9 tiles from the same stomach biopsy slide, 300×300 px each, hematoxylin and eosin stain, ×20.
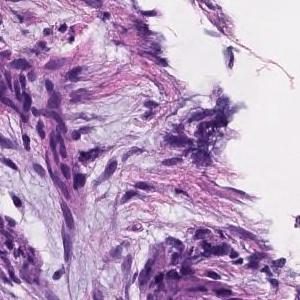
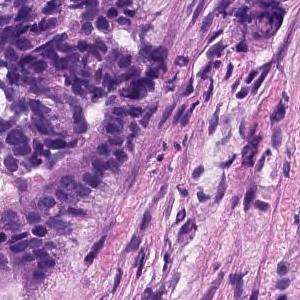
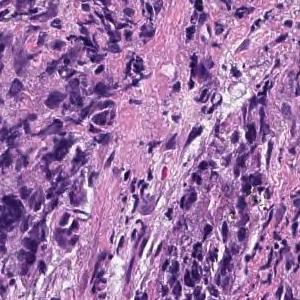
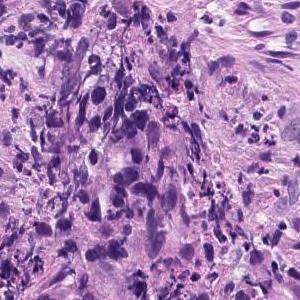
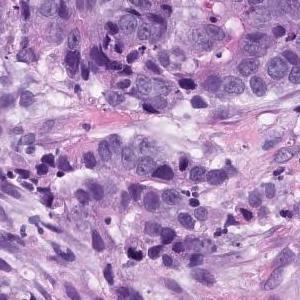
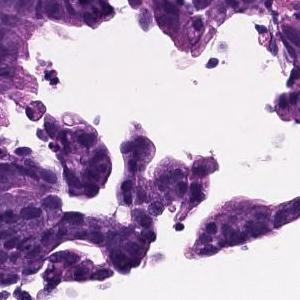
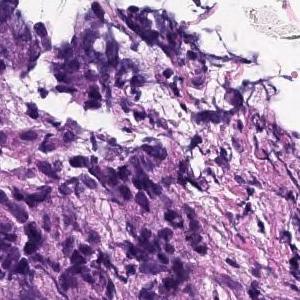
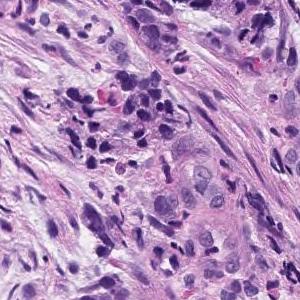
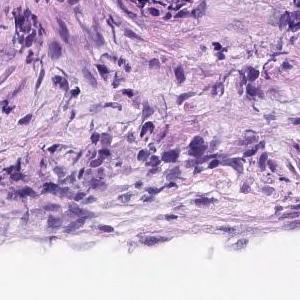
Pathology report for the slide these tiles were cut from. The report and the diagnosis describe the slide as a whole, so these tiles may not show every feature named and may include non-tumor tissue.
Medium to small, irregular glandular ducts are formed in the superficial epithelium, and in some cases, the glandular ducts are fused to show solid alveolar lesions and infiltrating tumor tissue is observed. Moderately to poorly differentiated adenocarcinoma.
